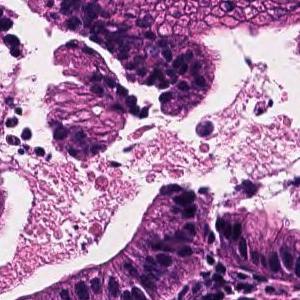
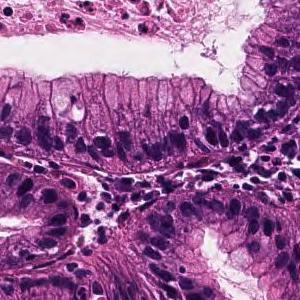
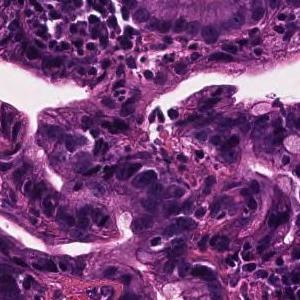
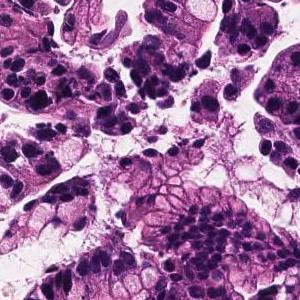
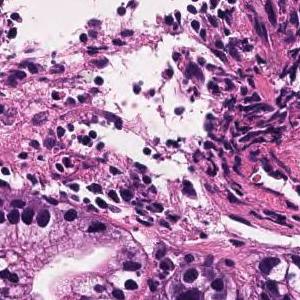
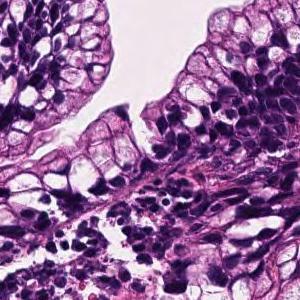
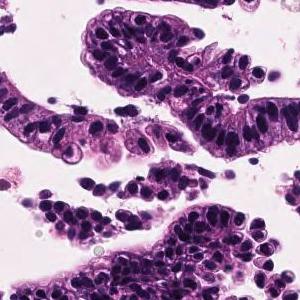
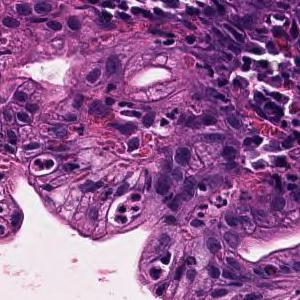
8 image tiles from a single gastric biopsy slide, 300 × 300 pixels each, hematoxylin and eosin stain, 20× magnification.
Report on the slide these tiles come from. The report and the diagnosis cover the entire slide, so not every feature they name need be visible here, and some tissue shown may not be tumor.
Tumor cells are large, highly columnar, large club-shaped nuclei, and are associated with chromatin aggregation. Papillary adenocarcinoma.
